5 tiles from the same stomach biopsy slide, 300×300 px each, H&E.
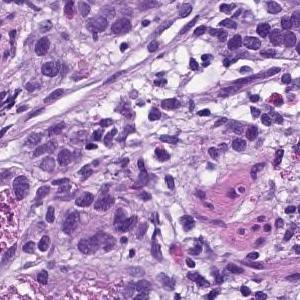
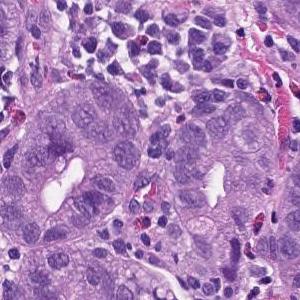
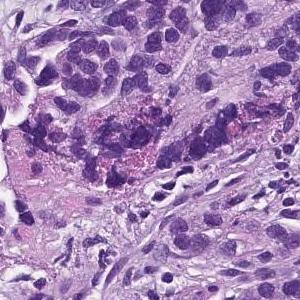
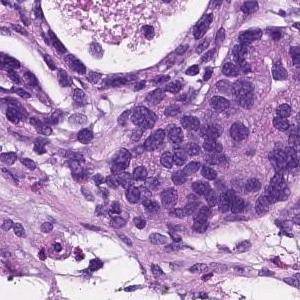
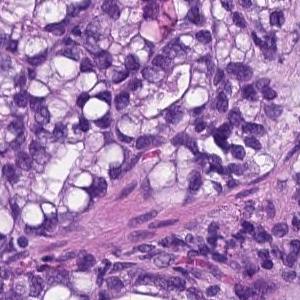
Pathology report for the biopsy slide these tiles were cut from. The report and the diagnosis cover the entire slide, so not every feature they name need be visible here, and some tissue shown may not be tumor.
From the superficial epithelium to the muscularis mucosae, tumor tissue consisting of medium-sized and irregular glandular ducts infiltrating is observed. Well differentiated tubular adenocarcinoma
